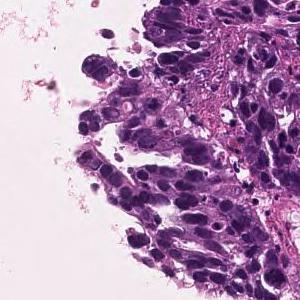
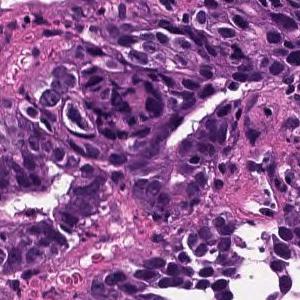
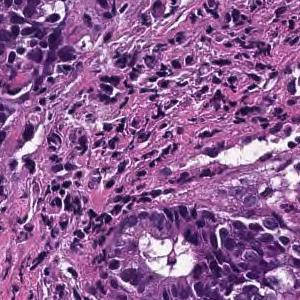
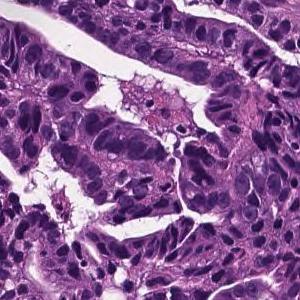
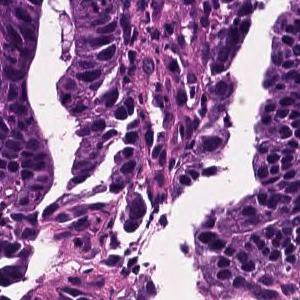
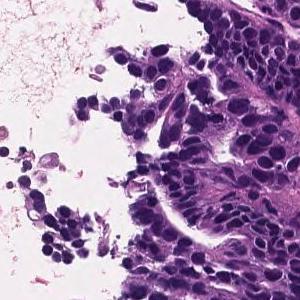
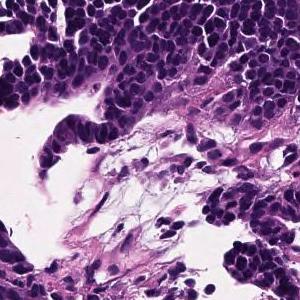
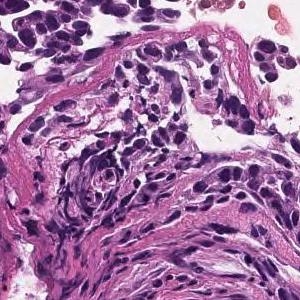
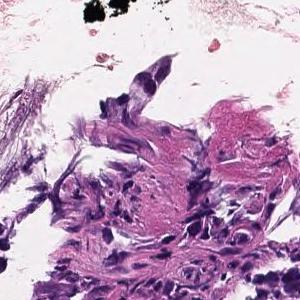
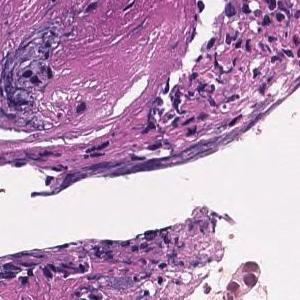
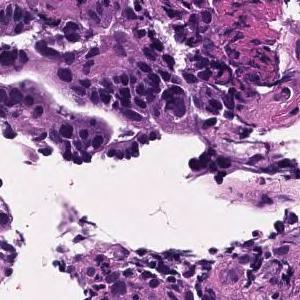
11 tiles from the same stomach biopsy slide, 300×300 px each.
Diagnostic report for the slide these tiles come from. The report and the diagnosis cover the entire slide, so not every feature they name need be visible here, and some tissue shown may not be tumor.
Tumor cells are large, highly columnar, large club-shaped nuclei, and are associated with chromatin aggregation. Papillary adenocarcinoma.
